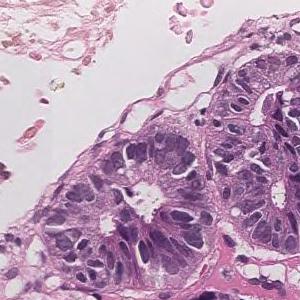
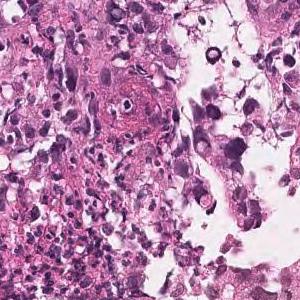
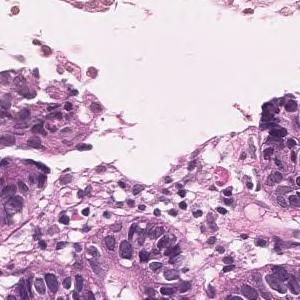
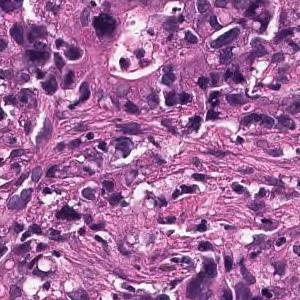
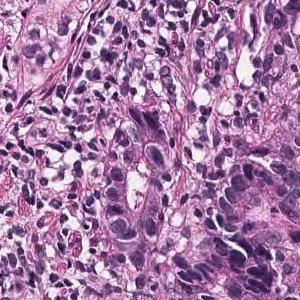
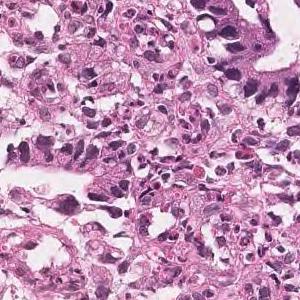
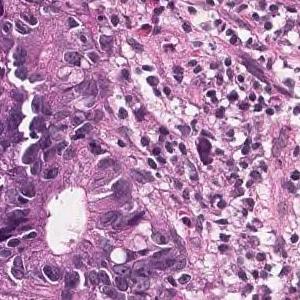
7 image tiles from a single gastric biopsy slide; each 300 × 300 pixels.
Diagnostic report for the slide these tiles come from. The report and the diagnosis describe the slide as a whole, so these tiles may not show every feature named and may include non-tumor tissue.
In the superficial epithelium, tumor tissue is found in which medium-sized irregular gland ducts fuse with each other and infiltrate. moderately differentiated tubular adenocarcinoma
